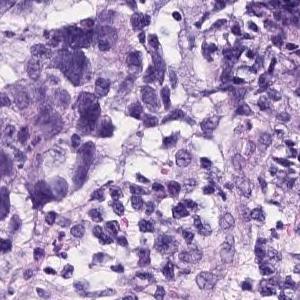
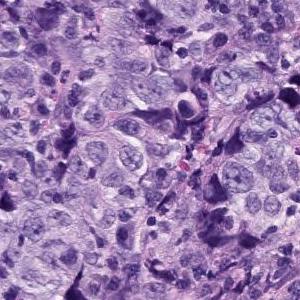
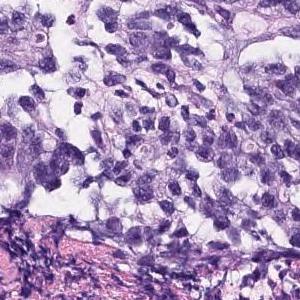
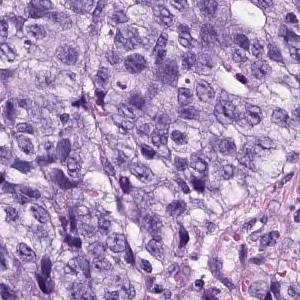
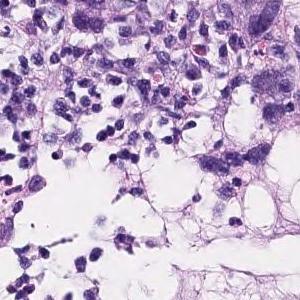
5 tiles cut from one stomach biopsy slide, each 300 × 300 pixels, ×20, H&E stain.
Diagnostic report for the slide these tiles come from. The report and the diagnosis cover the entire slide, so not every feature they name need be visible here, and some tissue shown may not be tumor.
The superficial epithelium shows a large sheet-like shape, and some tumor tissue infiltrates with small irregular ducts. Poorly differentiated adenocarcinoma, solid-type
Histologic type: Poorly differentiated adenocarcinoma, solid type, a category of the Japanese Classification of Gastric Carcinoma; in the WHO 2019 classification it is tubular adenocarcinoma, poorly differentiated.
